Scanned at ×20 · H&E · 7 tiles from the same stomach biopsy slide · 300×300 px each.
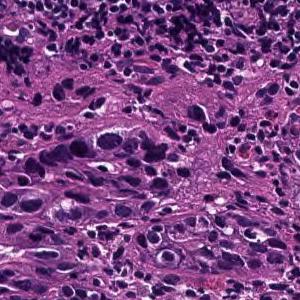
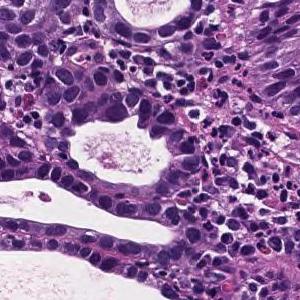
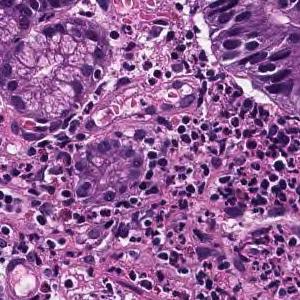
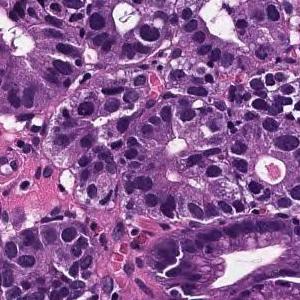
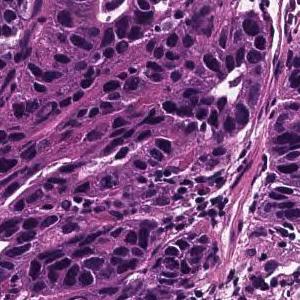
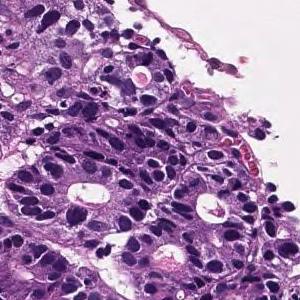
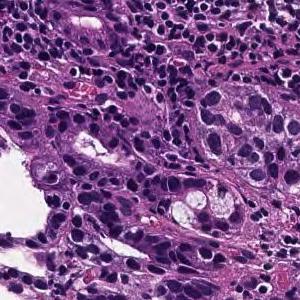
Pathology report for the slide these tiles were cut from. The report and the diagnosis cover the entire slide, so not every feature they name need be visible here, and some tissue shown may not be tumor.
In the superficial epithelium, tumor tissue that invades by forming medium-sized to small, irregular ducts is observed. Well differentiated tubular adenocarcinoma.
